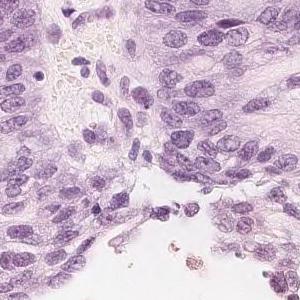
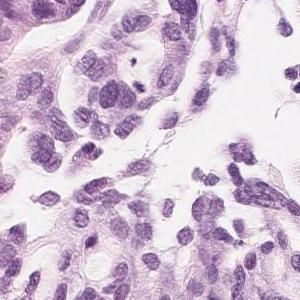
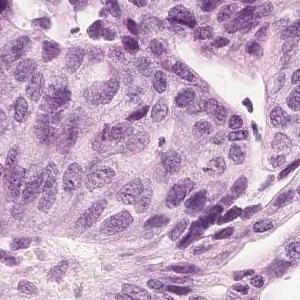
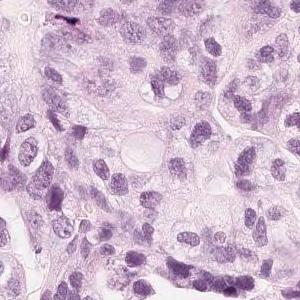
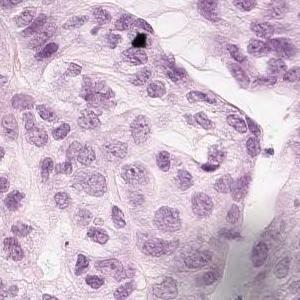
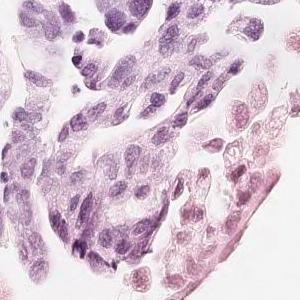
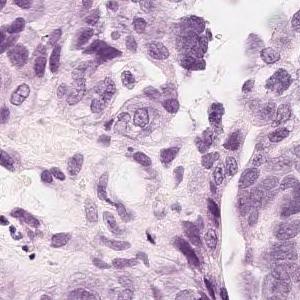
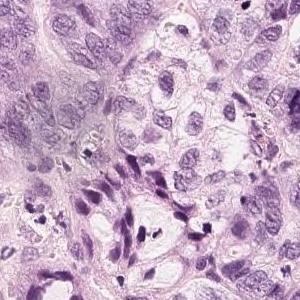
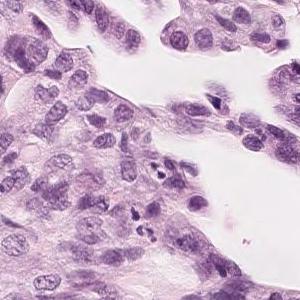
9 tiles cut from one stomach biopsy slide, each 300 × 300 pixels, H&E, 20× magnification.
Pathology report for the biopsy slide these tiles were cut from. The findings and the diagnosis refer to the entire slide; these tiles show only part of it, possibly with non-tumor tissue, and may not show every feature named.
Tumor tissue in which medium-sized atypical epithelial cells with a large N/C ratio grow densely while becoming alveolar to cord-like with duct formation is observed. moderately differentiated tubular adenocarcinoma
